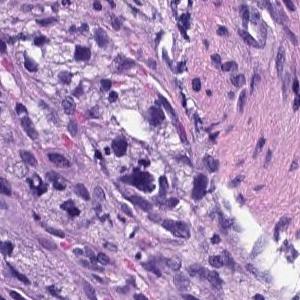
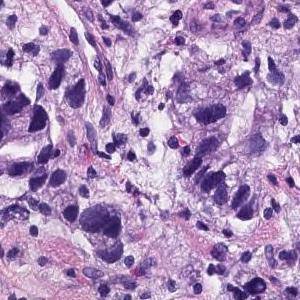
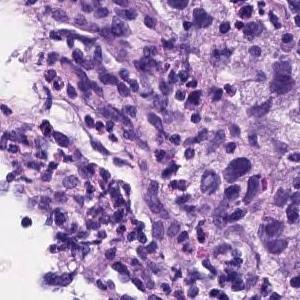
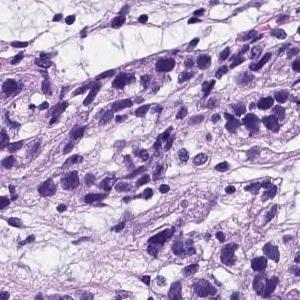
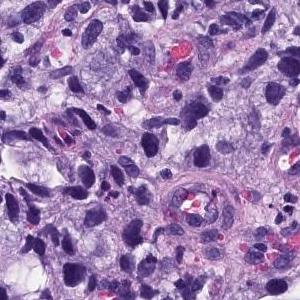
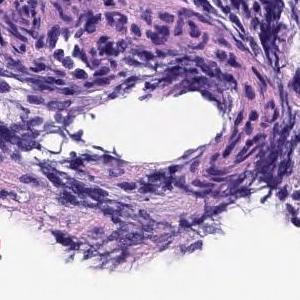
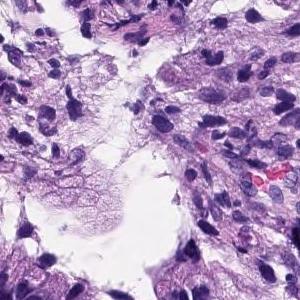
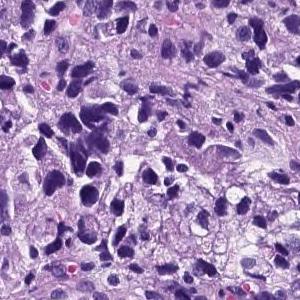
8 tiles from the same stomach biopsy slide; 300 × 300 pixels each; scanned at ×20; H&E stain.
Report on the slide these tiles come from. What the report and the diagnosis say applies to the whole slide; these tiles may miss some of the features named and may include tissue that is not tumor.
Medium to small, irregular glandular ducts are formed in the superficial epithelium, and in some cases, the glandular ducts are fused to show solid alveolar lesions and infiltrating tumor tissue is observed. Poorly differentiated adenocarcinoma, Moderately differentiated adenocarcinoma.
Dataset label: moderately differentiated tubular adenocarcinoma.
